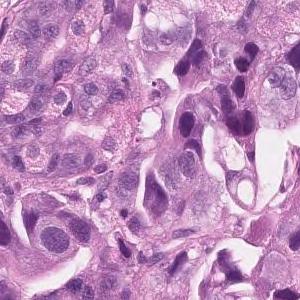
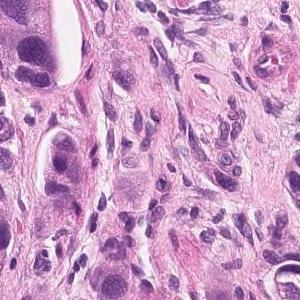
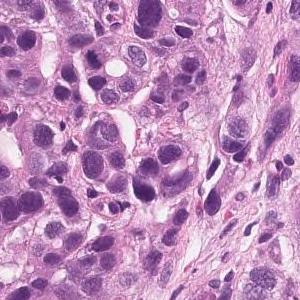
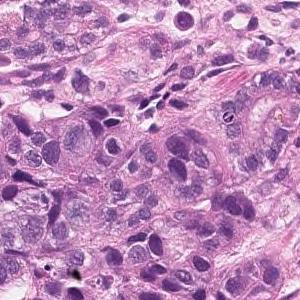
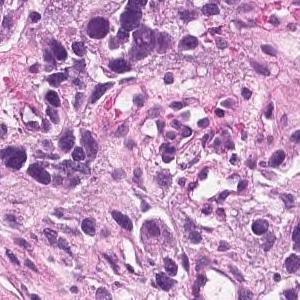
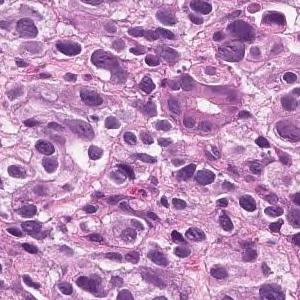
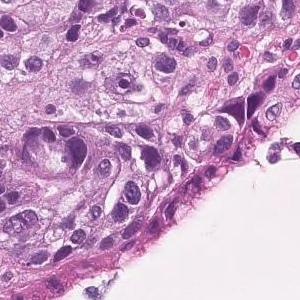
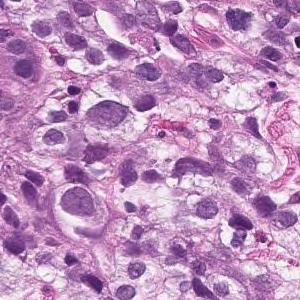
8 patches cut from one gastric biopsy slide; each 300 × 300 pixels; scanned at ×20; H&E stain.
The pathologist's report on the biopsy slide these tiles were taken from. Both the report and the diagnosis are for the whole slide: these tiles need not show every feature named, and some of the tissue shown may not be tumor.
Tumor tissue that infiltrates the epithelium in an alveolar manner. Poorly differentiated adenocarcinoma, solid-type
Histological subtype: Poorly differentiated adenocarcinoma, solid type, a category of the Japanese Classification of Gastric Carcinoma; in the WHO 2019 classification it is tubular adenocarcinoma, poorly differentiated.
